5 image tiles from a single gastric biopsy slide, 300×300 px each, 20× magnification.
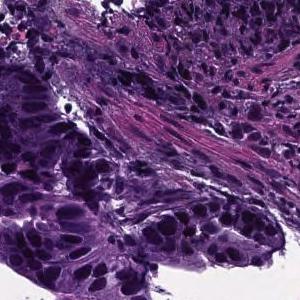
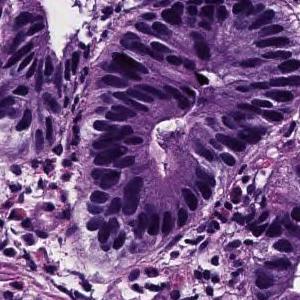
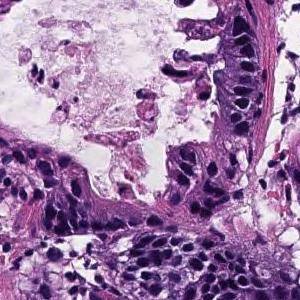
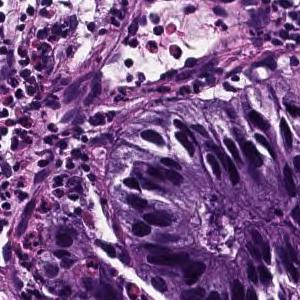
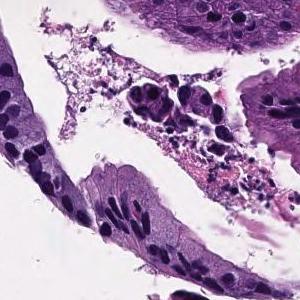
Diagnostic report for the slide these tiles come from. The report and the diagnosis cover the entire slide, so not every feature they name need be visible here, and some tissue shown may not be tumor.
In the superficial epithelium, tumor tissue that invades by forming medium-sized to small, irregular ducts is observed. Moderately differentiated adenocarcinoma.
Tumor subtype: moderately differentiated tubular adenocarcinoma.
